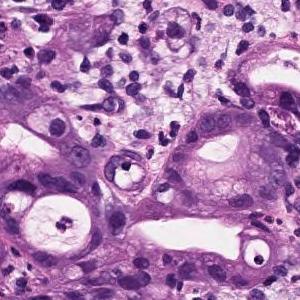
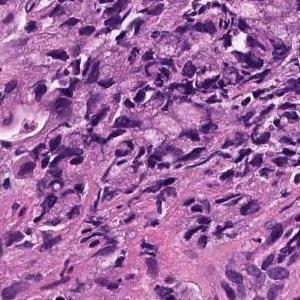
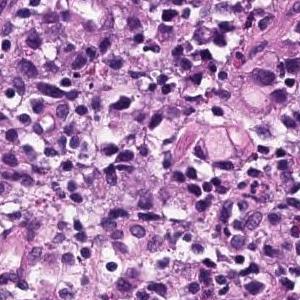
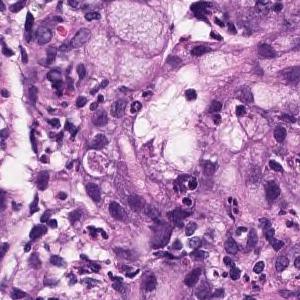
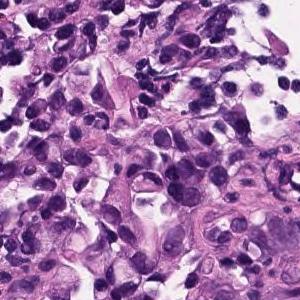
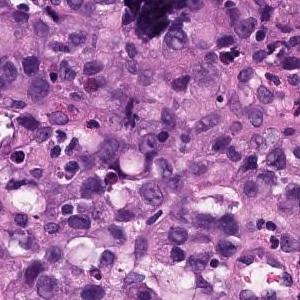
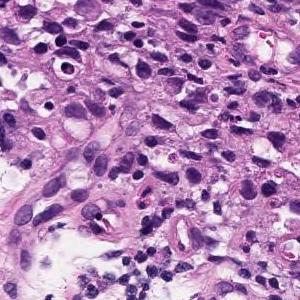
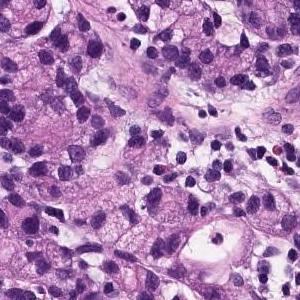
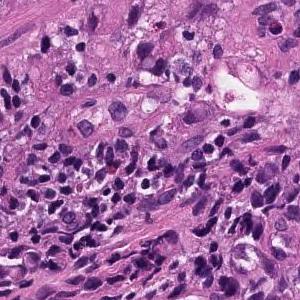
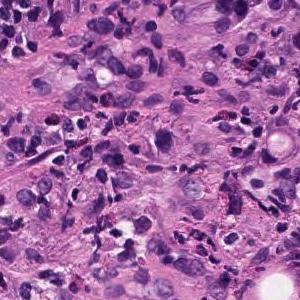
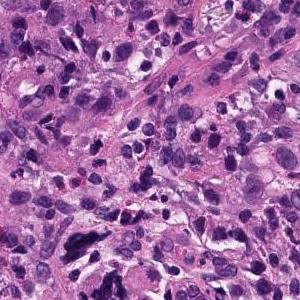
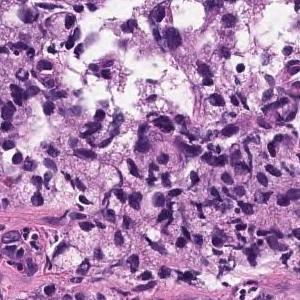
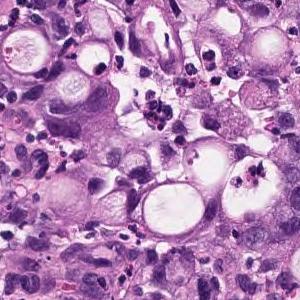
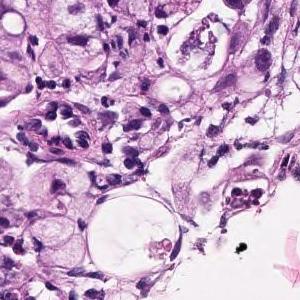
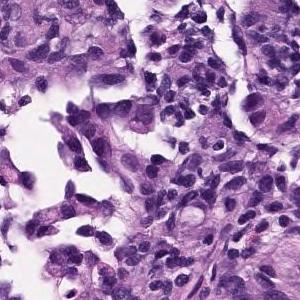
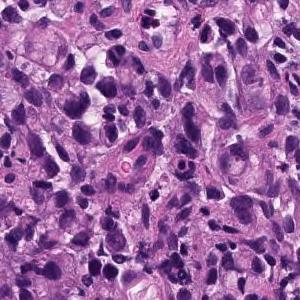
16 image tiles from a single gastric biopsy slide; 300 × 300 pixels each; hematoxylin and eosin stain.
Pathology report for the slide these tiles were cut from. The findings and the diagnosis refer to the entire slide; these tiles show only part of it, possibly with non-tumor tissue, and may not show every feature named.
Atypical epithelium forms irregularly fused gland ducts and proliferates. Poorly differentiated adenocarcinoma.
Classified as poorly differentiated adenocarcinoma, non-solid type.
The non-solid type named here is a Japanese Classification of Gastric Carcinoma category.
